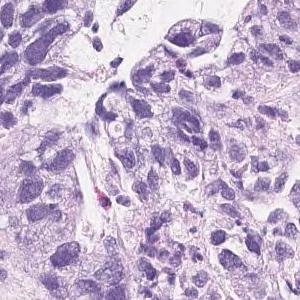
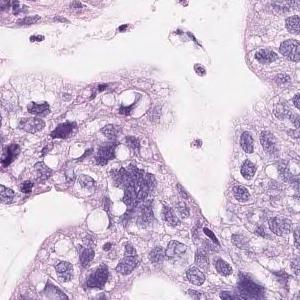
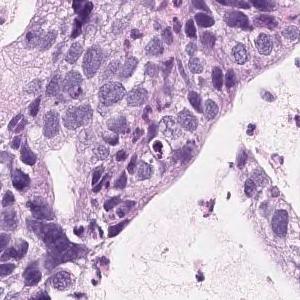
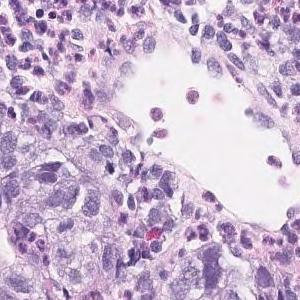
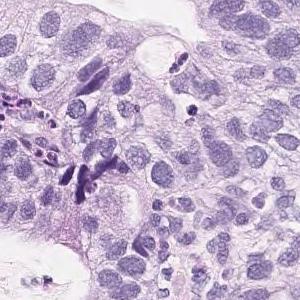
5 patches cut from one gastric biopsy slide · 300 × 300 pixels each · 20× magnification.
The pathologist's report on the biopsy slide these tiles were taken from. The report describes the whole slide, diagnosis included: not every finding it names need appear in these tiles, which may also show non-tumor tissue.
On the superficial epithelium, tumor tissue consisting of large, irregular glandular ducts partially fused and infiltrated is observed. Well to moderately differentiated tubular adenocarcinoma (well differentiated tubular adenocarcinoma, moderately differentiated tubular adenocarcinoma)
Histologic type: Well to moderately differentiated tubular adenocarcinoma.
